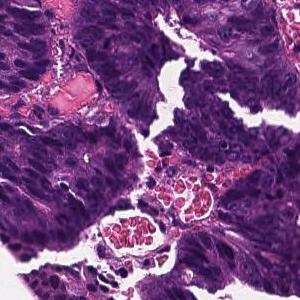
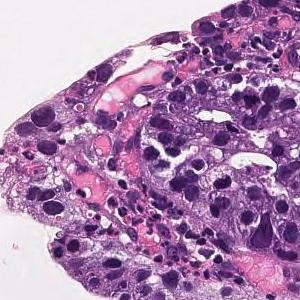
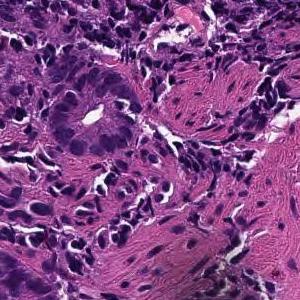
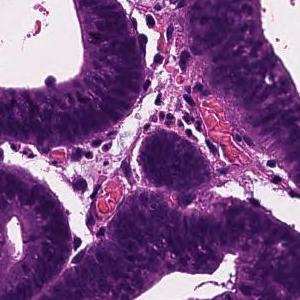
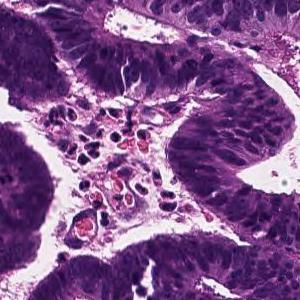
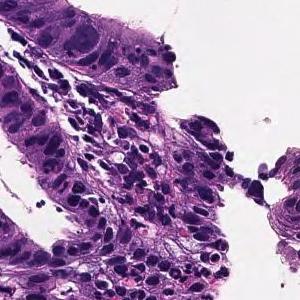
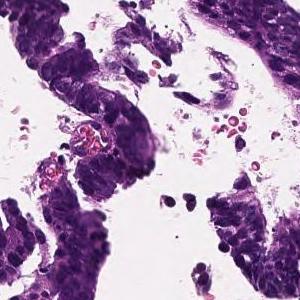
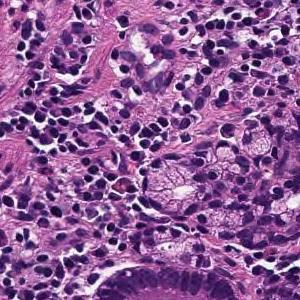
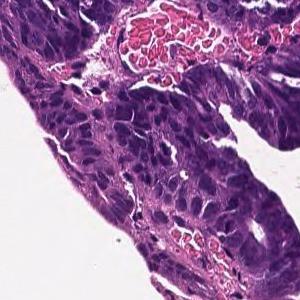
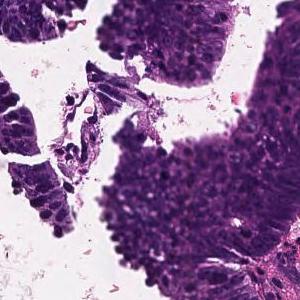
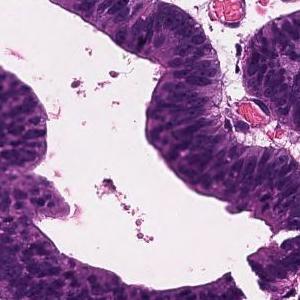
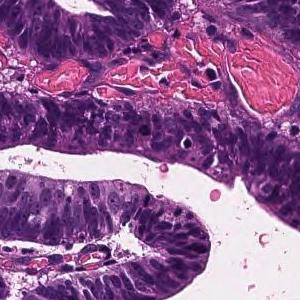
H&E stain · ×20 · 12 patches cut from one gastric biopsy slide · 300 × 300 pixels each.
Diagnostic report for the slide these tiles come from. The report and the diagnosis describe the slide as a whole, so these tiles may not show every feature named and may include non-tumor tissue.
Tumor tissue consisting of large papillary structures is found in the superficial epithelium. Papillary adenocarcinoma.
